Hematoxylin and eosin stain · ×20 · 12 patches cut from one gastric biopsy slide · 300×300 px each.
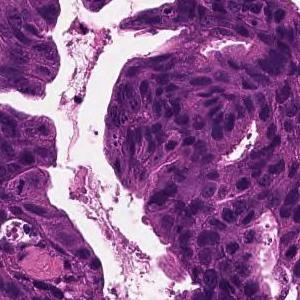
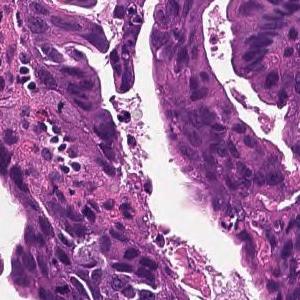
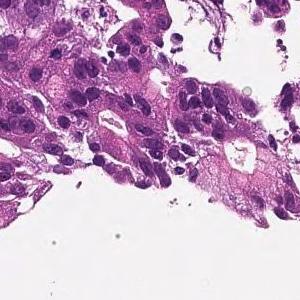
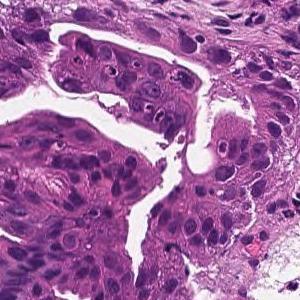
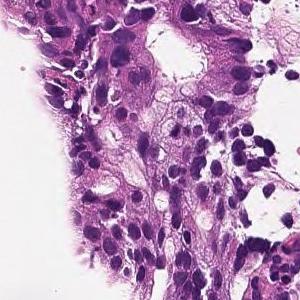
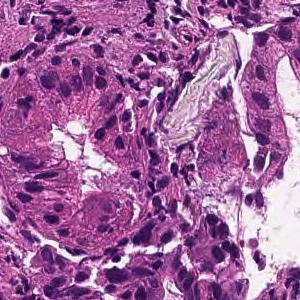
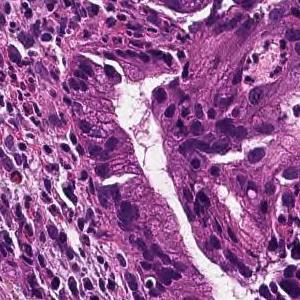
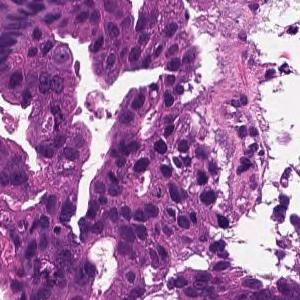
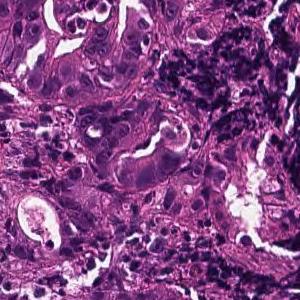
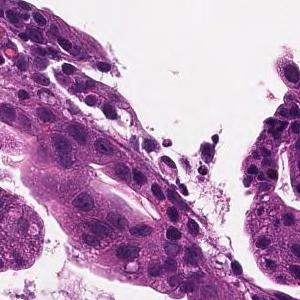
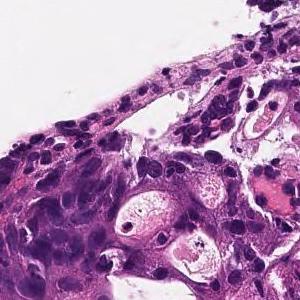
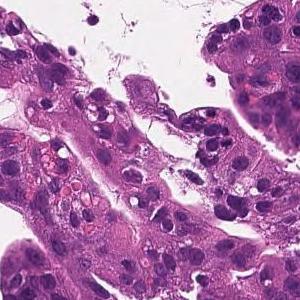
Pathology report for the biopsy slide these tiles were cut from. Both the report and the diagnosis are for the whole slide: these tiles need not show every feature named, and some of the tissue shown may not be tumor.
On the superficial epithelium, tumor tissue is found in which medium-sized irregular gland ducts fuse with each other and infiltrate. moderately differentiated tubular adenocarcinoma
